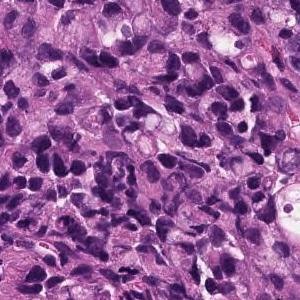
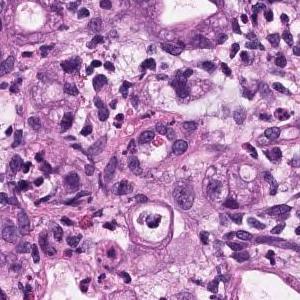
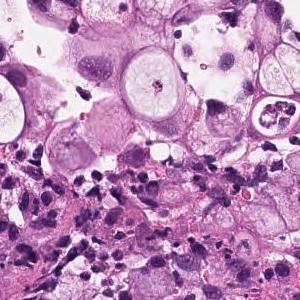
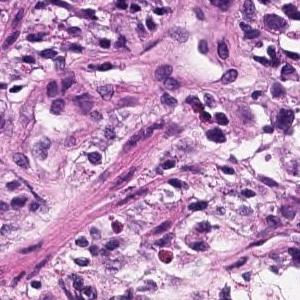
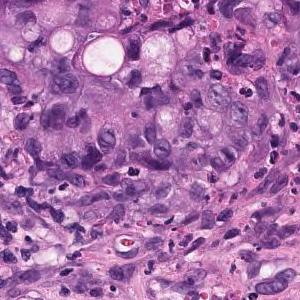
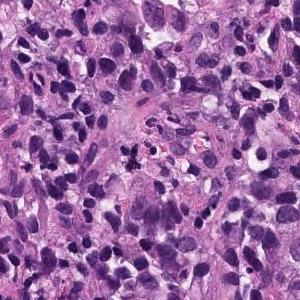
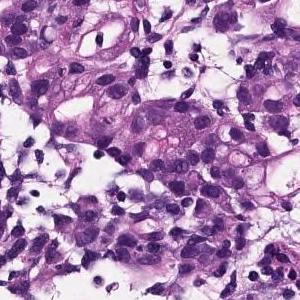
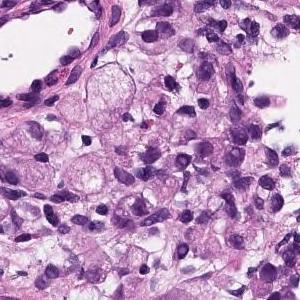
Hematoxylin and eosin stain; 8 tiles from the same stomach biopsy slide; 300 × 300 pixels each.
Report on the slide these tiles come from. The report and the diagnosis describe the slide as a whole, so these tiles may not show every feature named and may include non-tumor tissue.
Atypical epithelium forms irregularly fused gland ducts and proliferates. Poorly differentiated adenocarcinoma.
Subtype: Poorly differentiated adenocarcinoma, non-solid type.
The non-solid type named here is a Japanese Classification of Gastric Carcinoma category.
